×20 · H&E · 15 tiles from the same stomach biopsy slide · each 300 × 300 pixels.
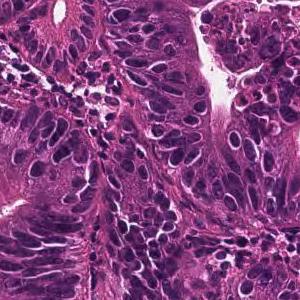
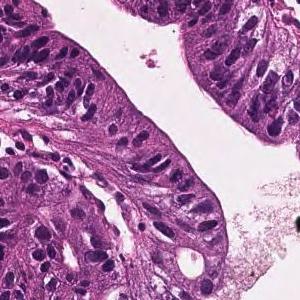
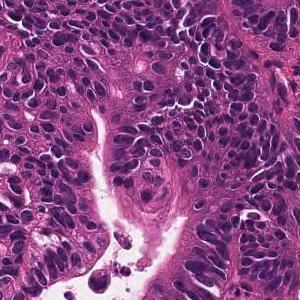
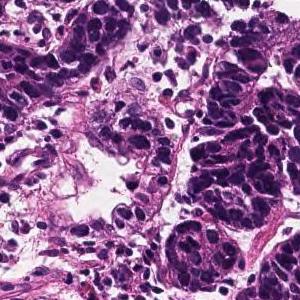
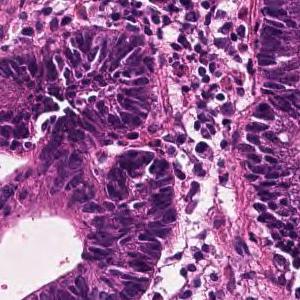
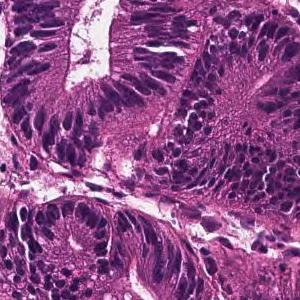
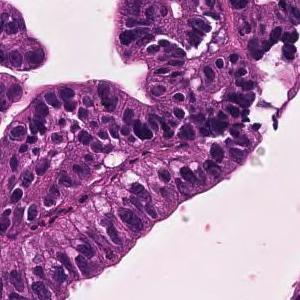
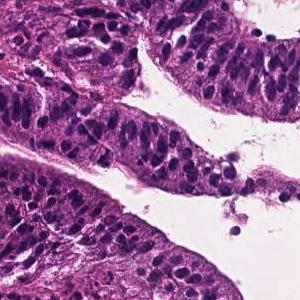
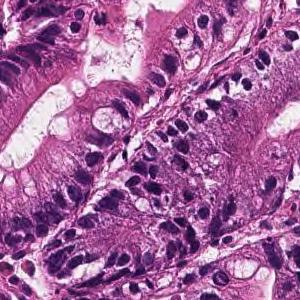
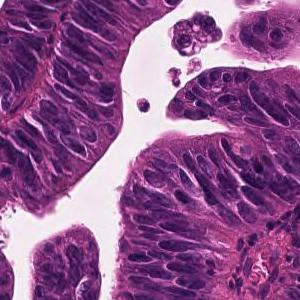
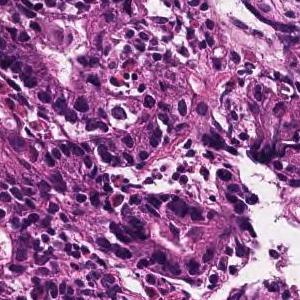
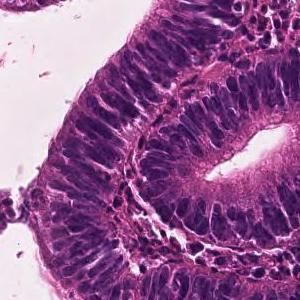
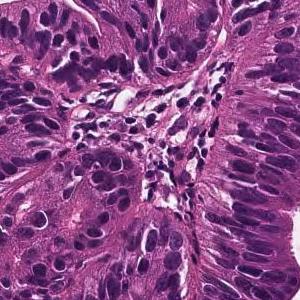
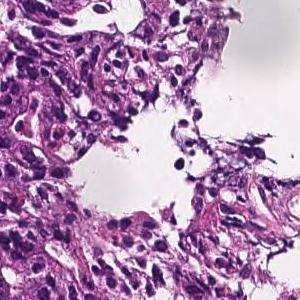
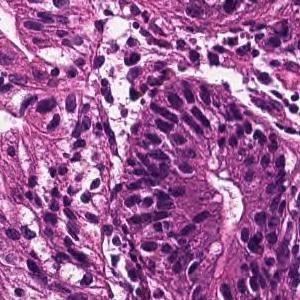
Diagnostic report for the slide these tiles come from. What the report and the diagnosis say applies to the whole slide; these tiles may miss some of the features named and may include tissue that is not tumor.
A large irregular tubular structure is exhibited in the epithelium, and tumor tissue that partially fuses and infiltrates and proliferates is observed. Large columnar tumor cells exhibit enlarged nucleus, hyperchromatism, and mitotic figures. Well differentiated tubular adenocarcinoma
